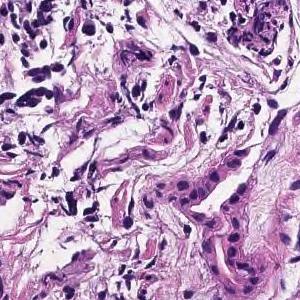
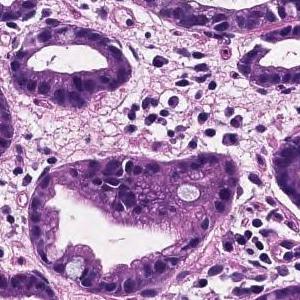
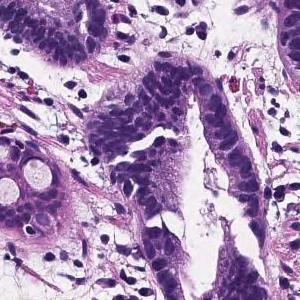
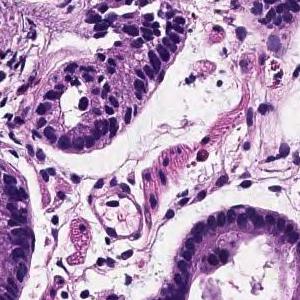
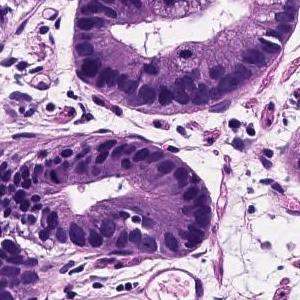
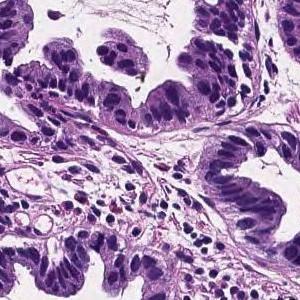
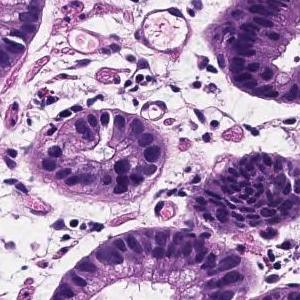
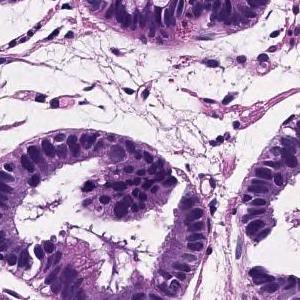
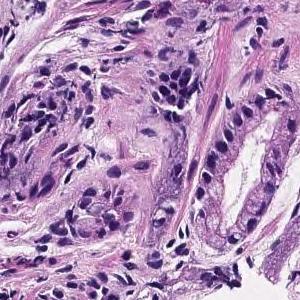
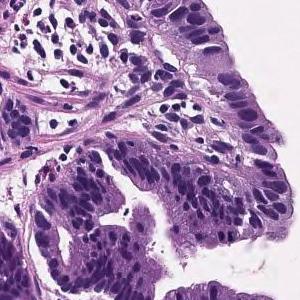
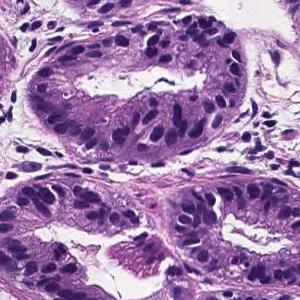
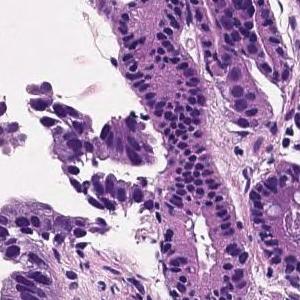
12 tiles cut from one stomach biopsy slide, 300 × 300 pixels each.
Diagnostic report for the slide these tiles come from. The findings and the diagnosis refer to the entire slide; these tiles show only part of it, possibly with non-tumor tissue, and may not show every feature named.
Tumor cells are large, highly columnar, large club-shaped nuclei, and are associated with chromatin aggregation. Papillary adenocarcinoma.
